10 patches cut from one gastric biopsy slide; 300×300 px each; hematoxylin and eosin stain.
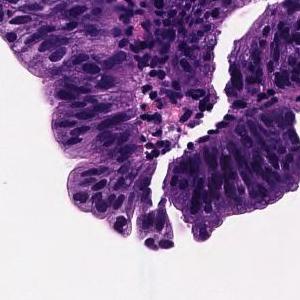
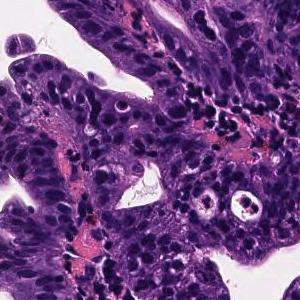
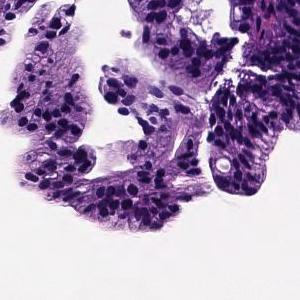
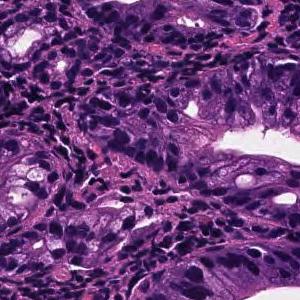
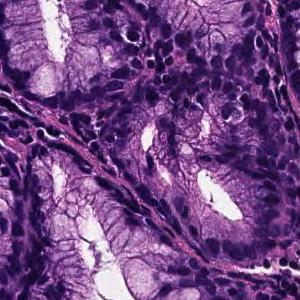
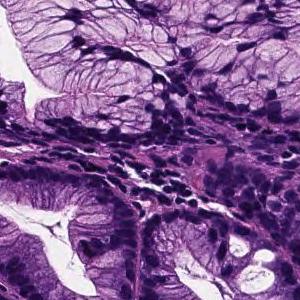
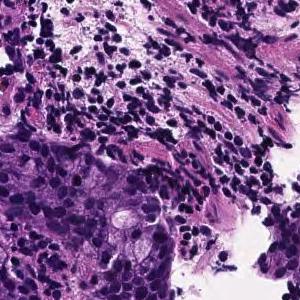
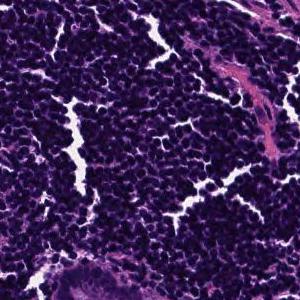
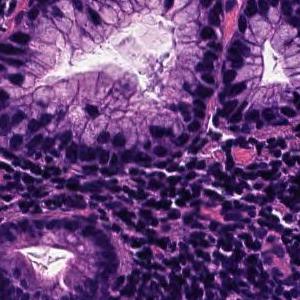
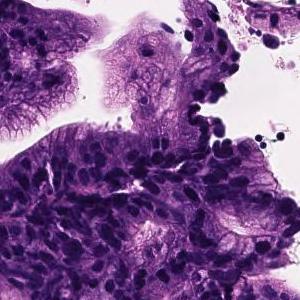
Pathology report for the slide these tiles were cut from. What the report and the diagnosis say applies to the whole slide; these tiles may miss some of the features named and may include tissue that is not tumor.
On the superficial epithelium, tumor tissue that infiltrates by forming medium-sized papillary or small irregular ducts is observed. Papillary adenocarcinoma
